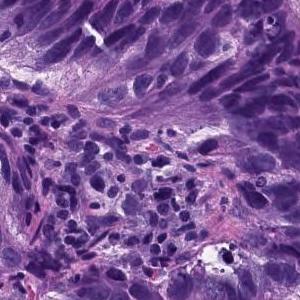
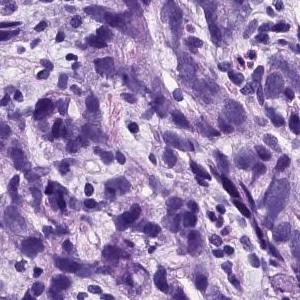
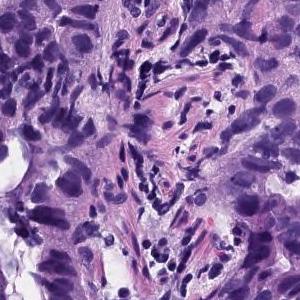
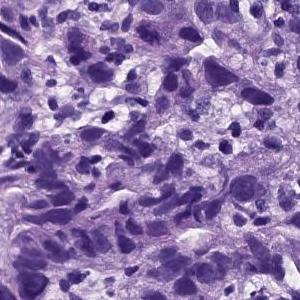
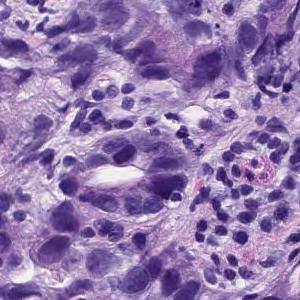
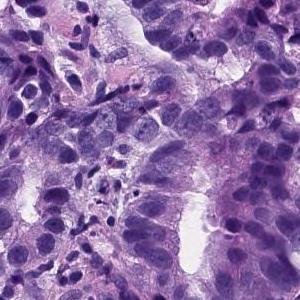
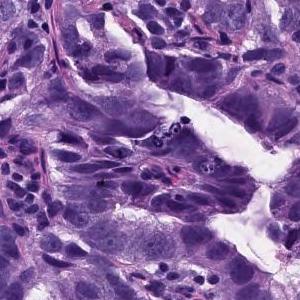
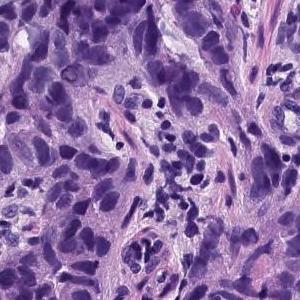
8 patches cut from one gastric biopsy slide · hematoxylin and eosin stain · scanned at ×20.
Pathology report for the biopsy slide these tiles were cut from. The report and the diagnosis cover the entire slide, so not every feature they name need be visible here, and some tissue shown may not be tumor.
In the superficial epithelium, tumor tissue that invades by forming medium-sized to small, irregular ducts is observed. Moderately differentiated adenocarcinoma.
Classified as moderately differentiated tubular adenocarcinoma.
